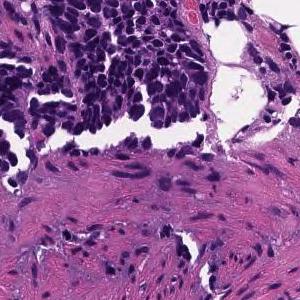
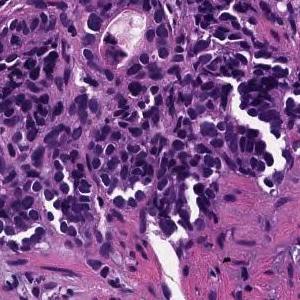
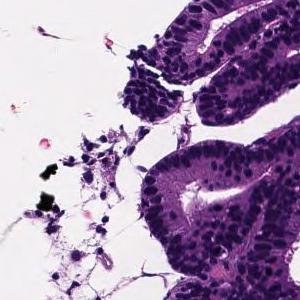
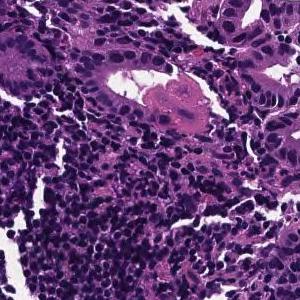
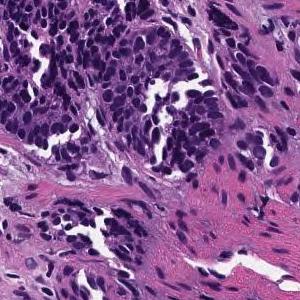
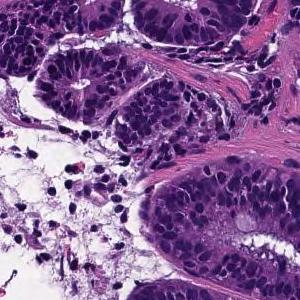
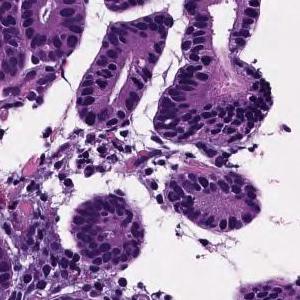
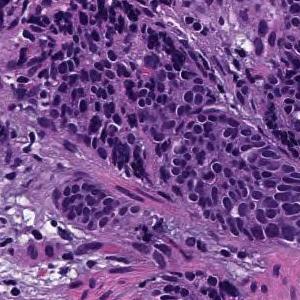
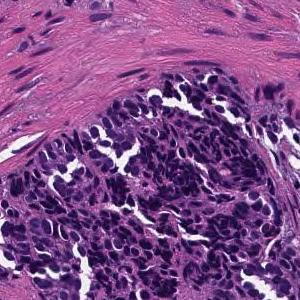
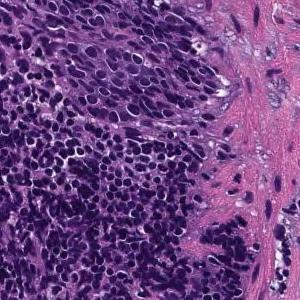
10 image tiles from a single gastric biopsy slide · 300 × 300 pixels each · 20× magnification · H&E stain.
Pathology report for the slide these tiles were cut from. What the report and the diagnosis say applies to the whole slide; these tiles may miss some of the features named and may include tissue that is not tumor.
Tumor tissue consisting of medium-sized, cord-like or irregular glandular infiltration is observed in the superficial epithelium. Poorly differentiated adenocarcinoma, non-solid type or moderately differentiated tubular adenocarcinoma
Histological subtype: Moderately to poorly differentiated adenocarcinoma.
The term "non-solid type" comes from the Japanese Classification of Gastric Carcinoma.
